14 tiles from the same stomach biopsy slide.
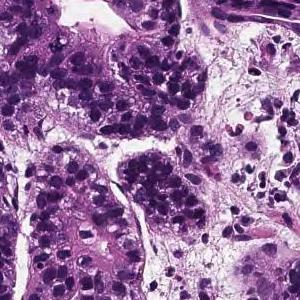
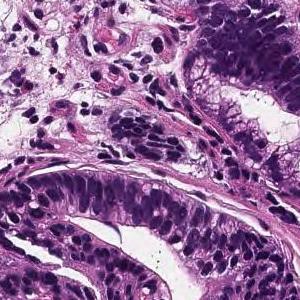
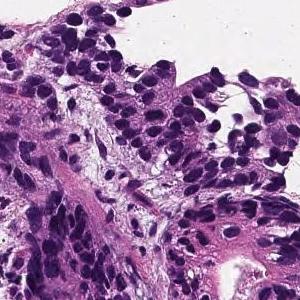
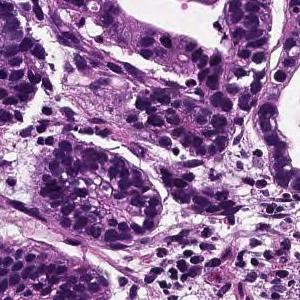
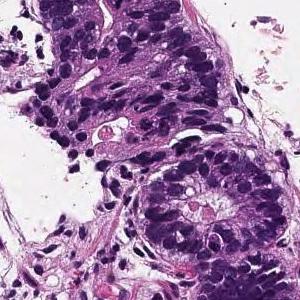
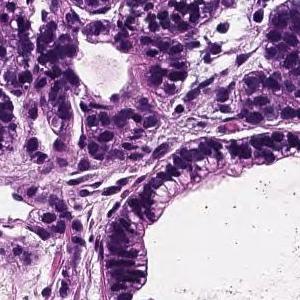
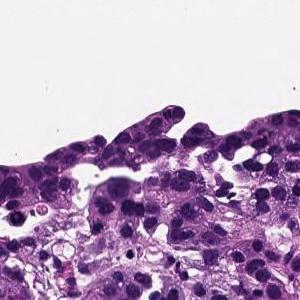
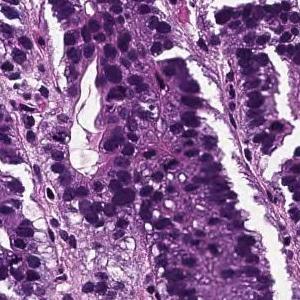
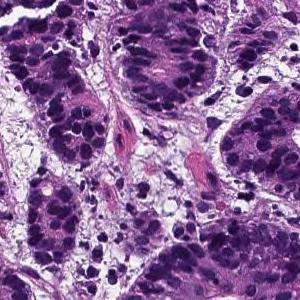
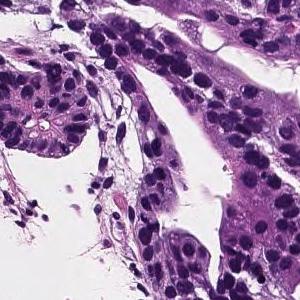
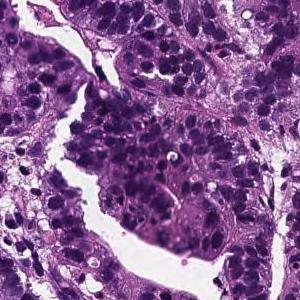
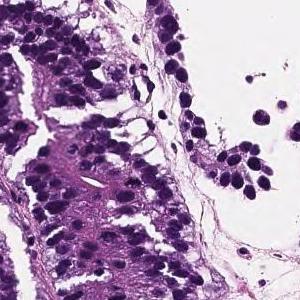
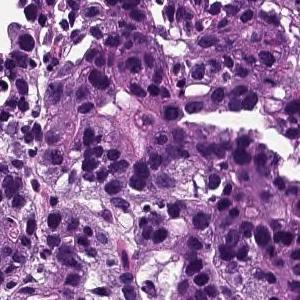
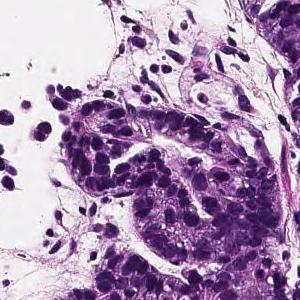
Pathology report for the slide these tiles were cut from. The report and the diagnosis cover the entire slide, so not every feature they name need be visible here, and some tissue shown may not be tumor.
On the superficial epithelium, tumor tissue is found in which medium-sized irregular gland ducts fuse with each other and infiltrate. moderately differentiated tubular adenocarcinoma
